Hematoxylin and eosin stain; scanned at ×20; 4 tiles cut from one stomach biopsy slide; each 300 × 300 pixels.
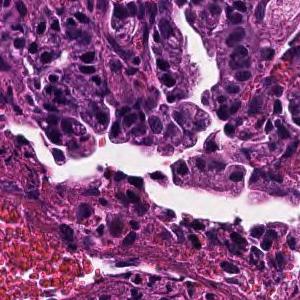
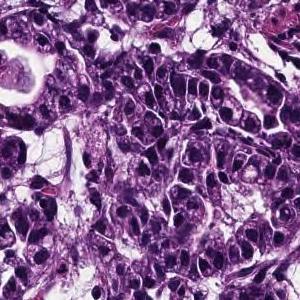
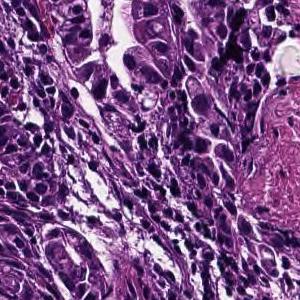
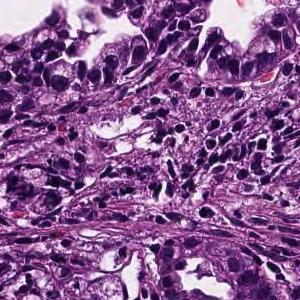
Report on the slide these tiles come from. The report and the diagnosis describe the slide as a whole, so these tiles may not show every feature named and may include non-tumor tissue.
Tumor cells are large, highly columnar, large club-shaped nuclei, and are associated with chromatin aggregation. Papillary adenocarcinoma.
